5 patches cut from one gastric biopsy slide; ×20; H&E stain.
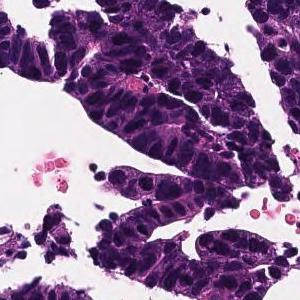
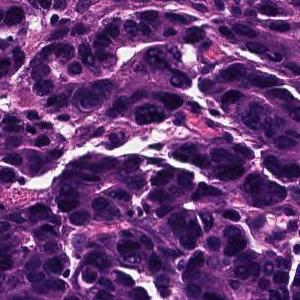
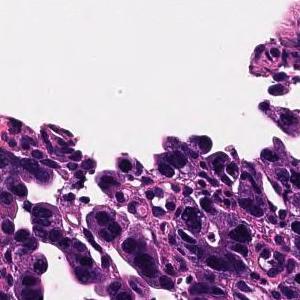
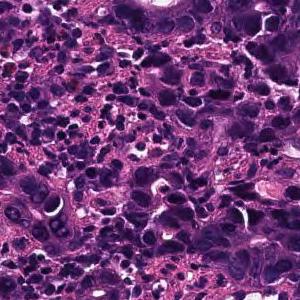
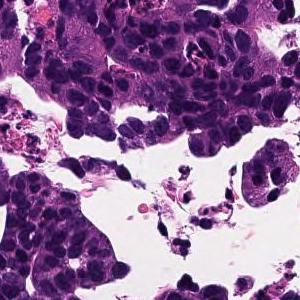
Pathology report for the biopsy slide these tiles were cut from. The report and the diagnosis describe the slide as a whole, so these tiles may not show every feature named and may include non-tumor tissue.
In the superficial epithelium, tumor tissue that invades by forming medium-sized to small, irregular ducts is observed. moderately differentiated tubular adenocarcinoma.
